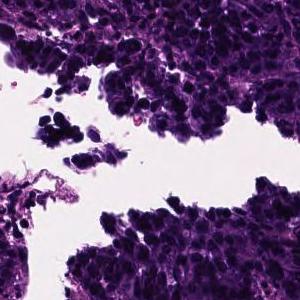
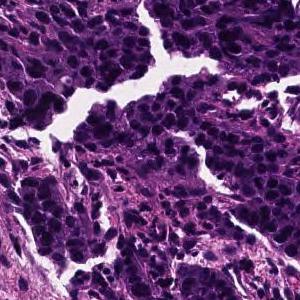
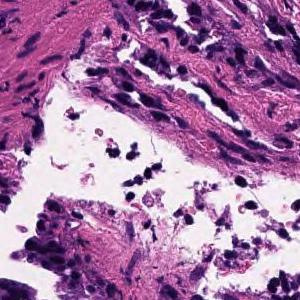
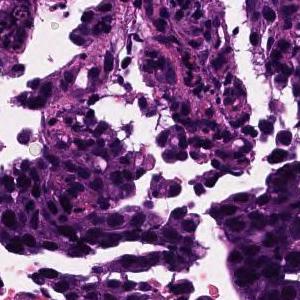
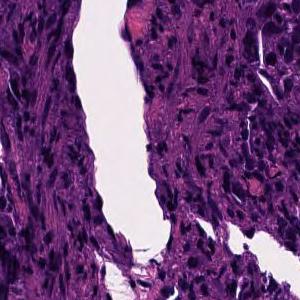
H&E, 5 tiles cut from one stomach biopsy slide, each 300 × 300 pixels.
Pathology report for the biopsy slide these tiles were cut from. The findings and the diagnosis refer to the entire slide; these tiles show only part of it, possibly with non-tumor tissue, and may not show every feature named.
In the superficial epithelium, tumor tissue that invades by forming medium-sized to small, irregular ducts is observed. moderately differentiated tubular adenocarcinoma.
